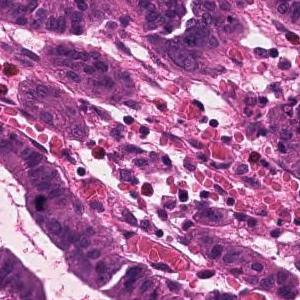
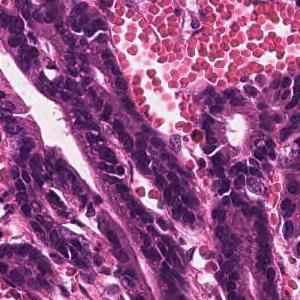
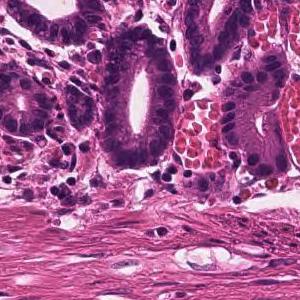
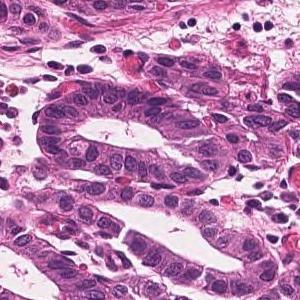
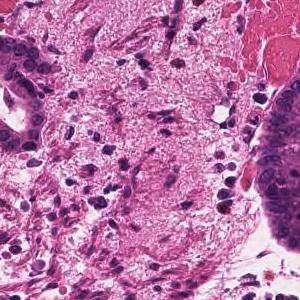
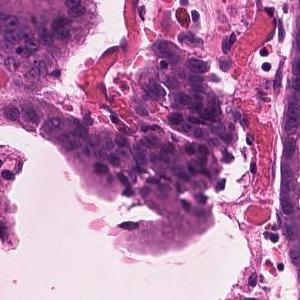
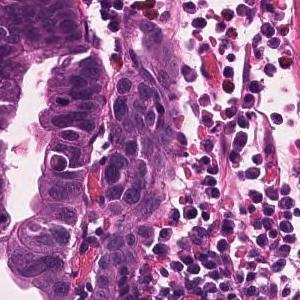
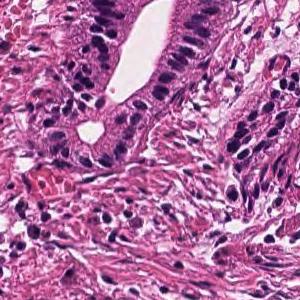
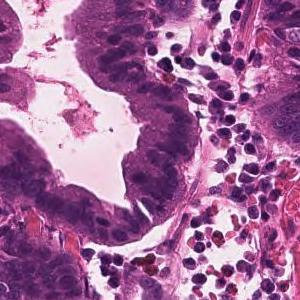
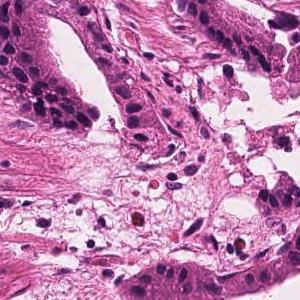
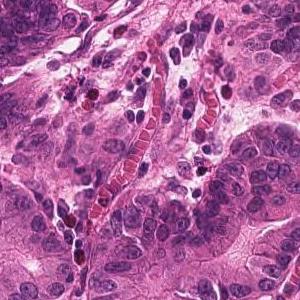
20× magnification, H&E, 11 tiles from the same stomach biopsy slide, 300 × 300 pixels each.
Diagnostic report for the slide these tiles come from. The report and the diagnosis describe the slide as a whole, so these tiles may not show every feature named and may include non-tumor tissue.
Infiltrating tumor tissue with medium-sized, irregular ductal structure or large papillary appearance is observed. Well differentiated tubular adenocarcinoma
